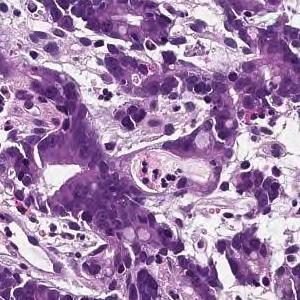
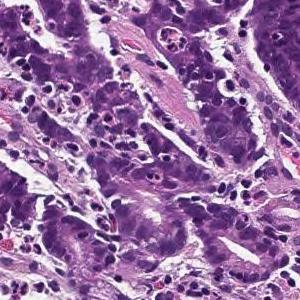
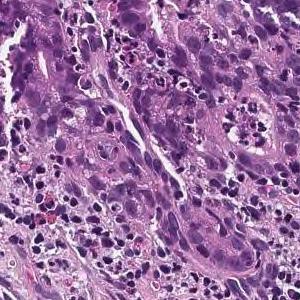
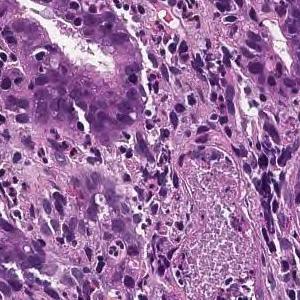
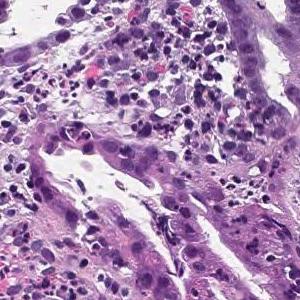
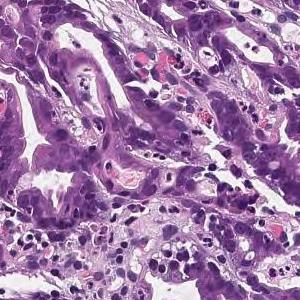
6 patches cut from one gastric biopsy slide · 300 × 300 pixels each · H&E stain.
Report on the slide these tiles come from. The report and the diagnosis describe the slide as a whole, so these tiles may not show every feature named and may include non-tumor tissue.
In the superficial epithelium, tumor tissue that invades by forming medium-sized to small, irregular ducts is observed. moderately differentiated tubular adenocarcinoma.
